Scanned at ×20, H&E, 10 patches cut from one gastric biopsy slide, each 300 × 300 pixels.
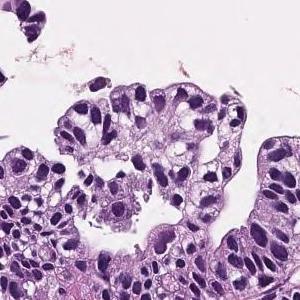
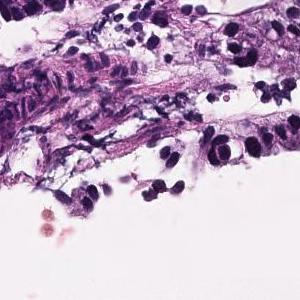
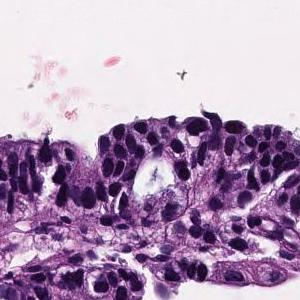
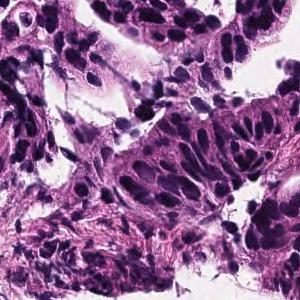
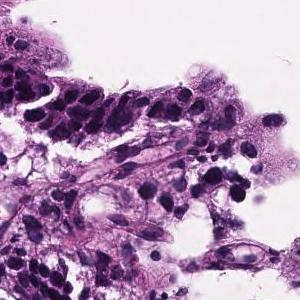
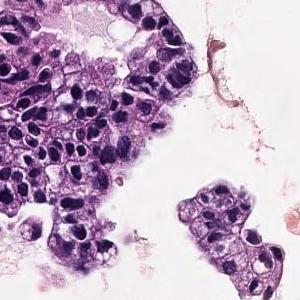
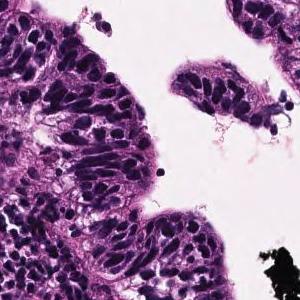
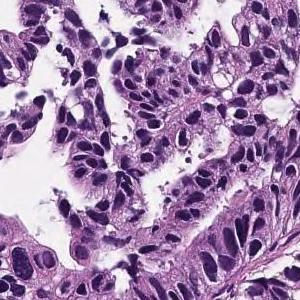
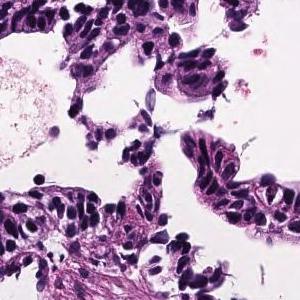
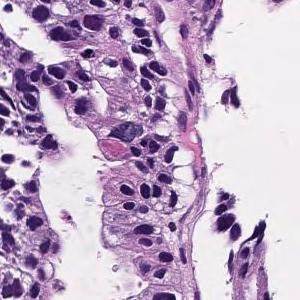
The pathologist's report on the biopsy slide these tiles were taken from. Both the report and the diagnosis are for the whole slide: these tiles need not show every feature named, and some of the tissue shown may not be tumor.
Tumor cells are large, highly columnar, large club-shaped nuclei, and are associated with chromatin aggregation. Papillary adenocarcinoma.
